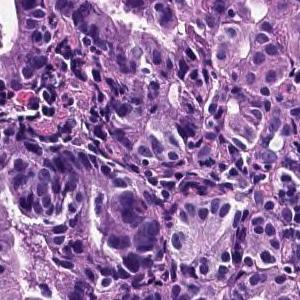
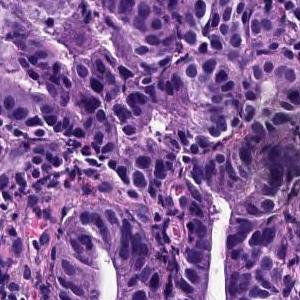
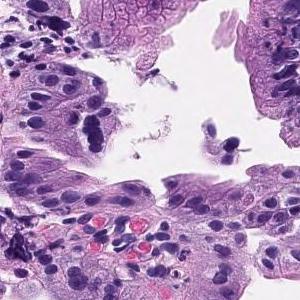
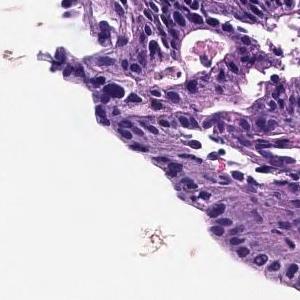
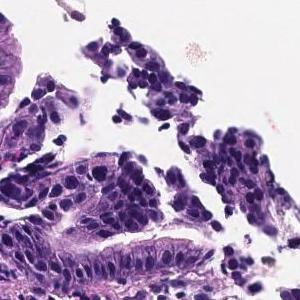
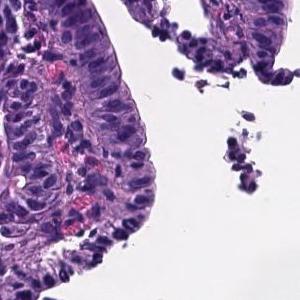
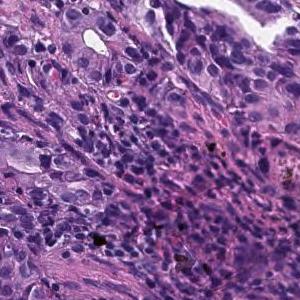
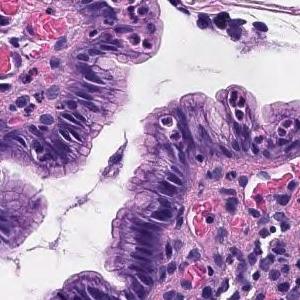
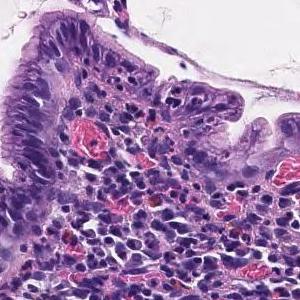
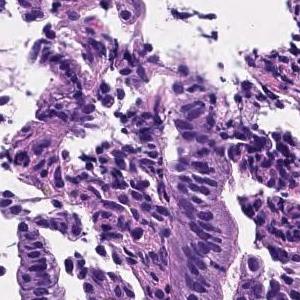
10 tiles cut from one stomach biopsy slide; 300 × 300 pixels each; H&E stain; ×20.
Pathology report for the slide these tiles were cut from. What the report and the diagnosis say applies to the whole slide; these tiles may miss some of the features named and may include tissue that is not tumor.
The superficial tumors shows large papillary structures or large and small ducts and infiltrates. Papillary adenocarcinoma.
